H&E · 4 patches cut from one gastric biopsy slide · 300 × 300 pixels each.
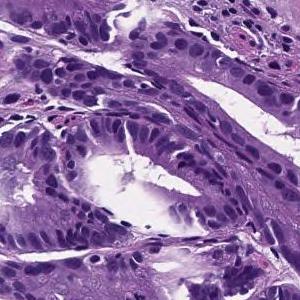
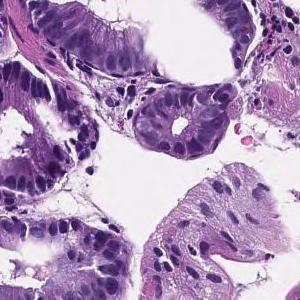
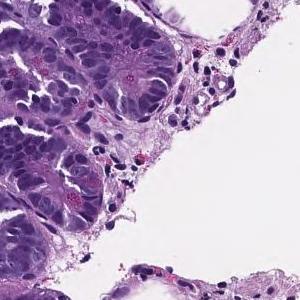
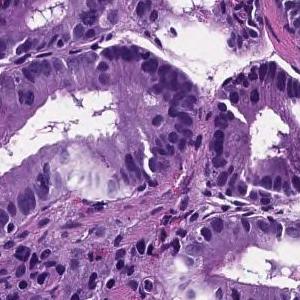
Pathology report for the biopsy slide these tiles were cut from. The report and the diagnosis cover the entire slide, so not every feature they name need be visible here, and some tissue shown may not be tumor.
In the superficial epithelium, tumor tissue that invades by forming medium-sized to small, irregular ducts is observed. moderately differentiated tubular adenocarcinoma.
